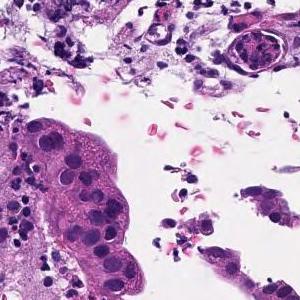
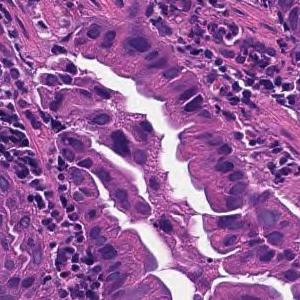
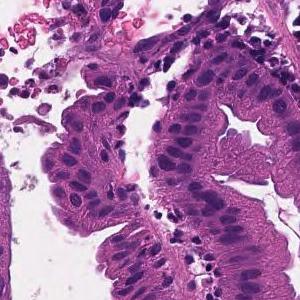
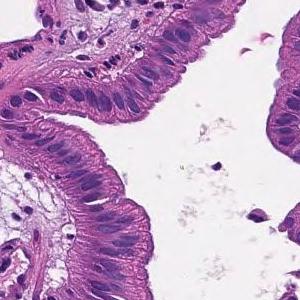
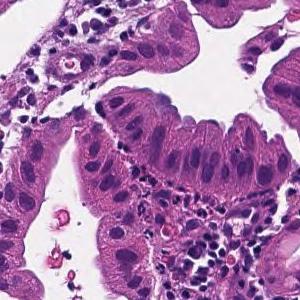
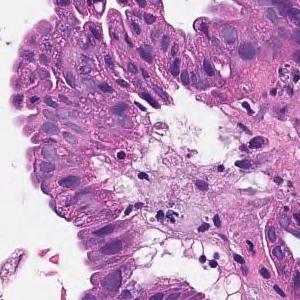
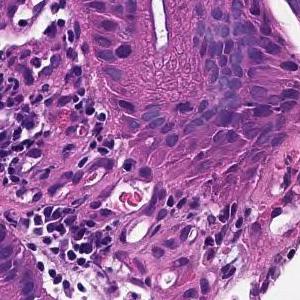
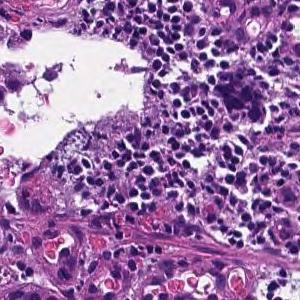
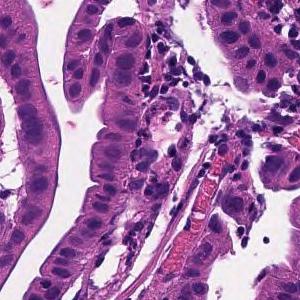
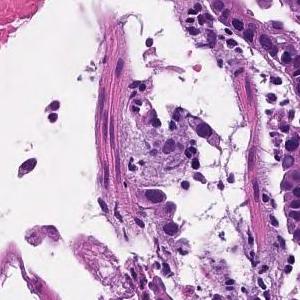
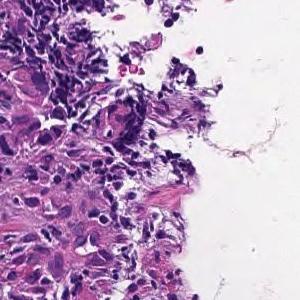
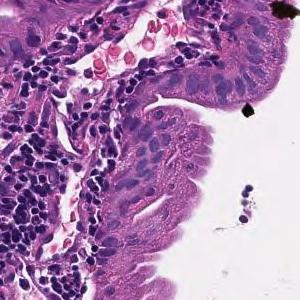
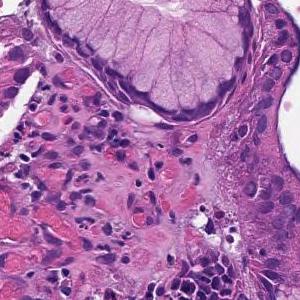
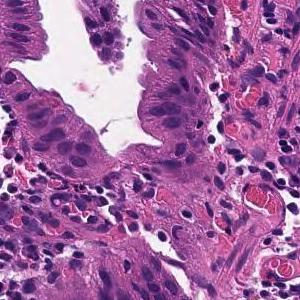
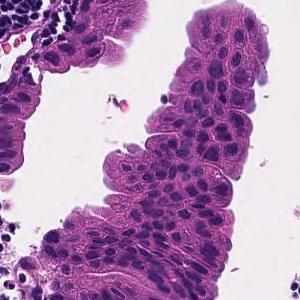
15 tiles cut from one stomach biopsy slide, 300 × 300 pixels each, 20× magnification.
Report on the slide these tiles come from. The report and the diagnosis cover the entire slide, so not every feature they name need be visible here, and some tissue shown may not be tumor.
On the superficial epithelium, tumor tissue that infiltrates by forming medium-sized papillary or small irregular ducts is observed. Papillary adenocarcinoma
